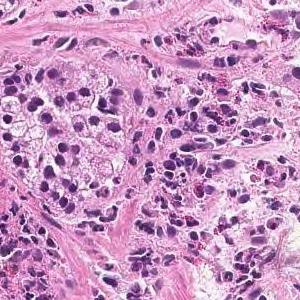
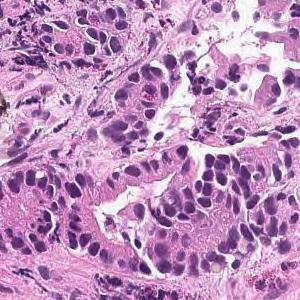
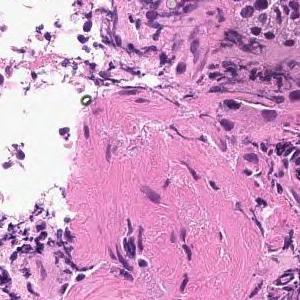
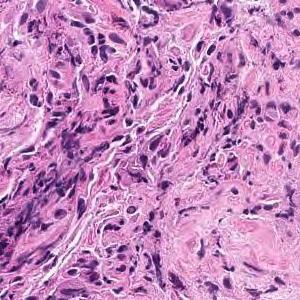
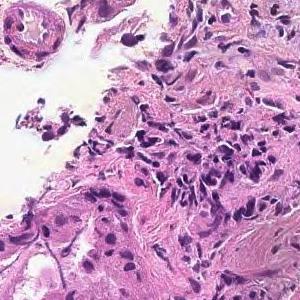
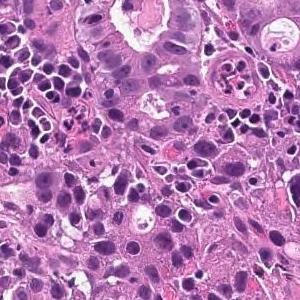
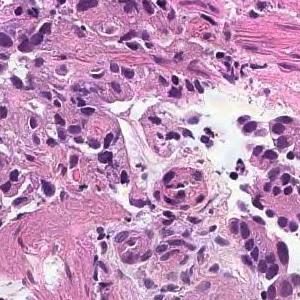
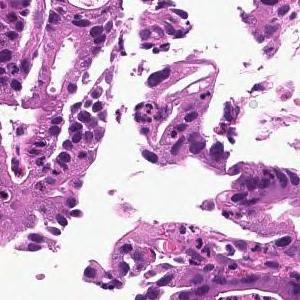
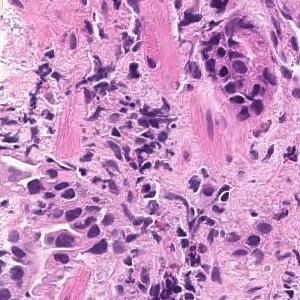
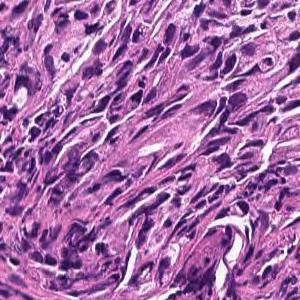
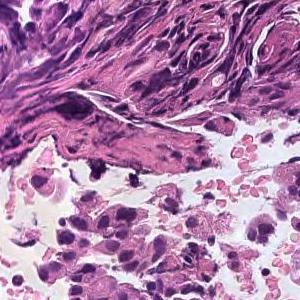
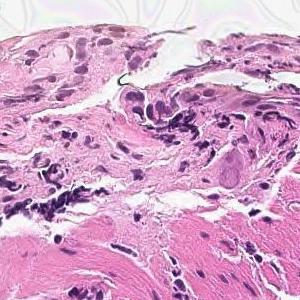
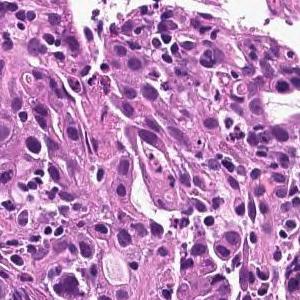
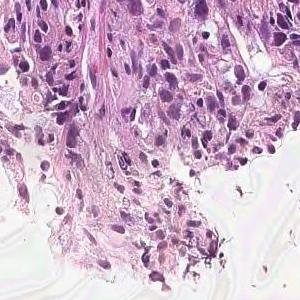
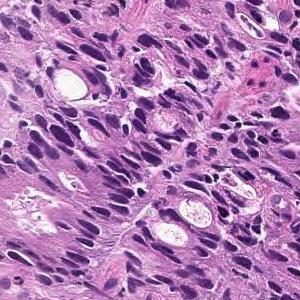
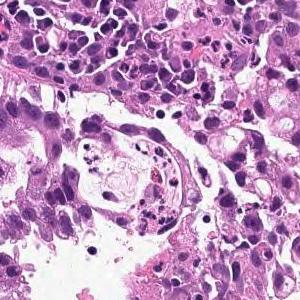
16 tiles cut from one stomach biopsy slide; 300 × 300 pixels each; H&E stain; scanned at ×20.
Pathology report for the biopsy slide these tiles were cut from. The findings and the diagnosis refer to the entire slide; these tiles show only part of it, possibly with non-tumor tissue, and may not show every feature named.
On the superficial epithelium, tumor tissue consisting of large irregular glandular ducts partially fused and infiltrated is observed. Well to moderately differentiated tubular adenocarcinoma (well differentiated tubular adenocarcinoma, moderately differentiated tubular adenocarcinoma)
Histological subtype: Well to moderately differentiated tubular adenocarcinoma.
